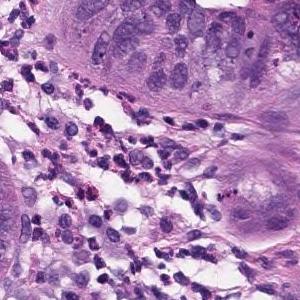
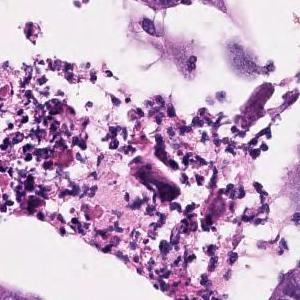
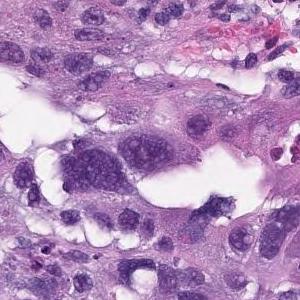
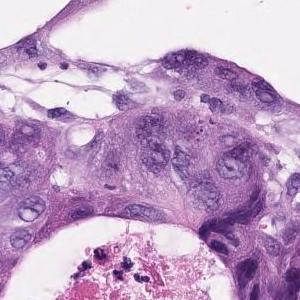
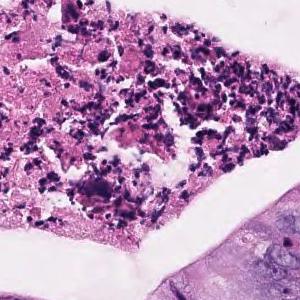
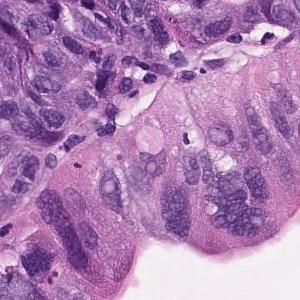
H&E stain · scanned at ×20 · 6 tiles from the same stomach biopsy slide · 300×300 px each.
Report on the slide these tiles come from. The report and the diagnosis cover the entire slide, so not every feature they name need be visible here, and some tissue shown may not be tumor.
In the superficial epithelium, tumor tissue that invades by forming medium-sized to small, irregular ducts is observed. Moderately differentiated adenocarcinoma.
Histologic type: Moderately differentiated tubular adenocarcinoma.
